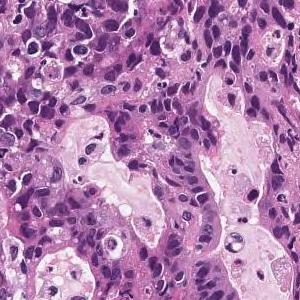
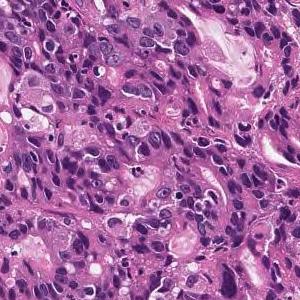
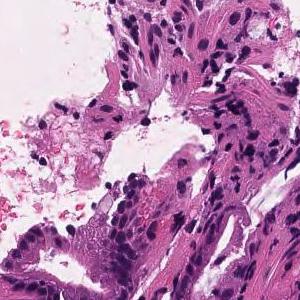
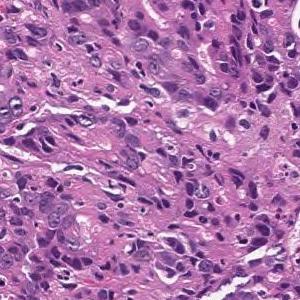
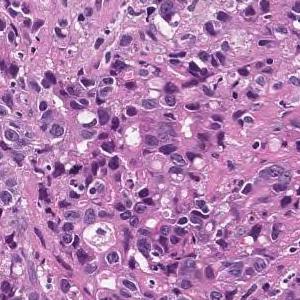
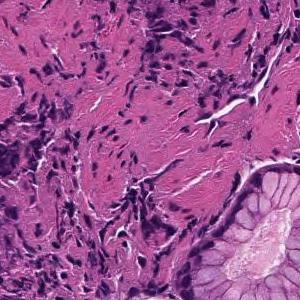
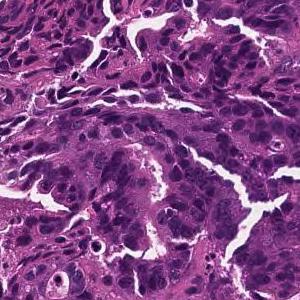
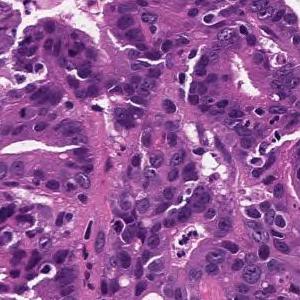
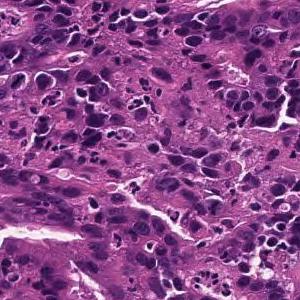
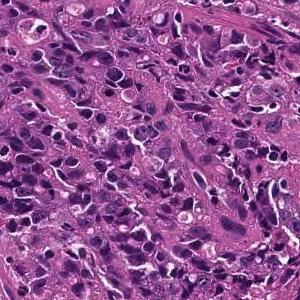
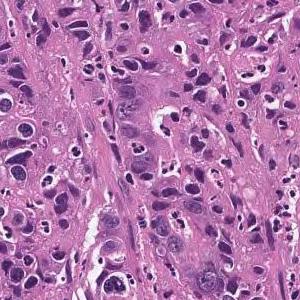
11 tiles cut from one stomach biopsy slide, 300×300 px each, hematoxylin and eosin stain, ×20.
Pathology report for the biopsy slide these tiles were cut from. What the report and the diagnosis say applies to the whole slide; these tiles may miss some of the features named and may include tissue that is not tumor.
In the superficial epithelium, tumor tissue that invades by forming medium-sized to small, irregular ducts is observed. moderately differentiated tubular adenocarcinoma.
